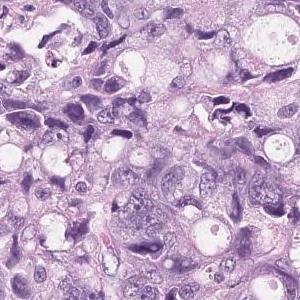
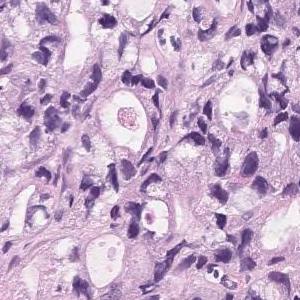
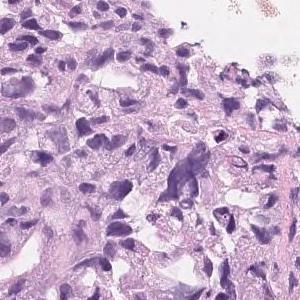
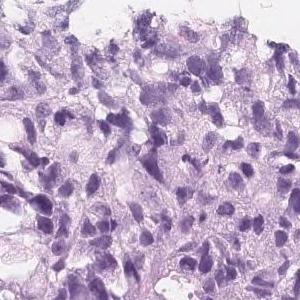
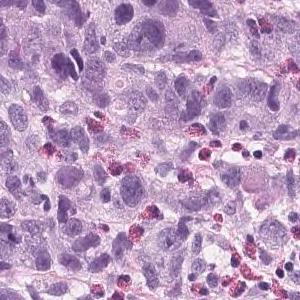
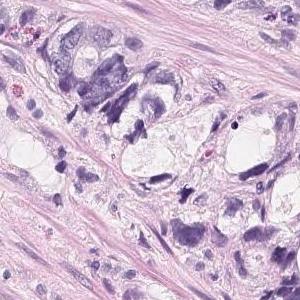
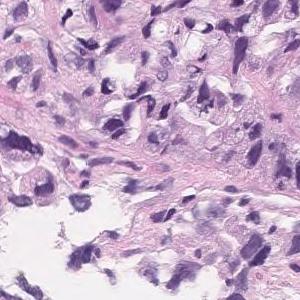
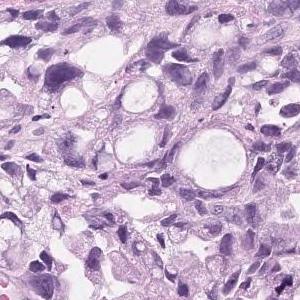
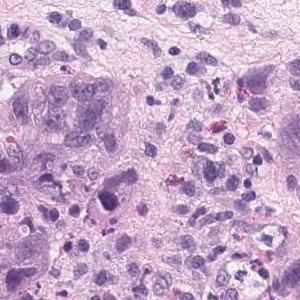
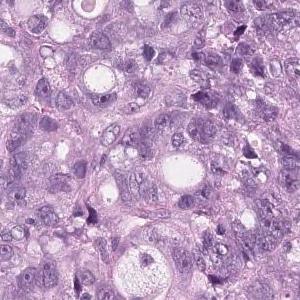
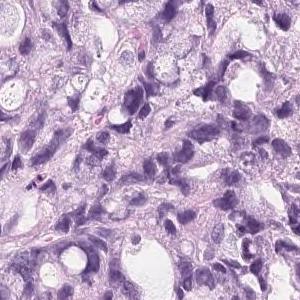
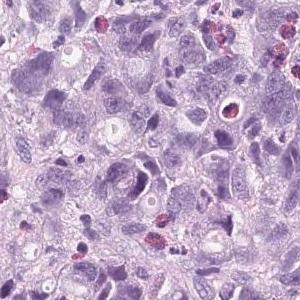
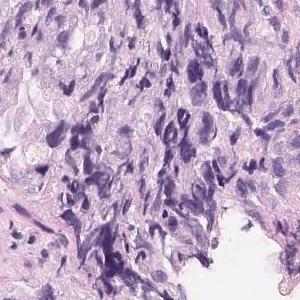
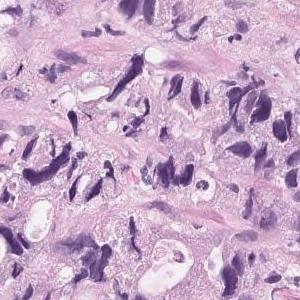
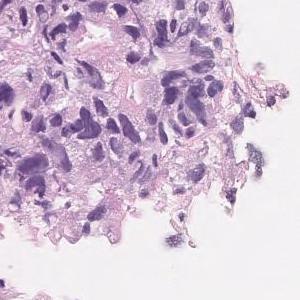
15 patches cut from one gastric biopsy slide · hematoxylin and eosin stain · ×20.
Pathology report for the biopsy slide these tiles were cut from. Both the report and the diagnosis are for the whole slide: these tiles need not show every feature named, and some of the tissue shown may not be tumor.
Tumor tissue that infiltrates and proliferates by forming small glandular cavities in the superficial layer to the submucosa or forming a mass is observed. moderately differentiated tubular adenocarcinoma
